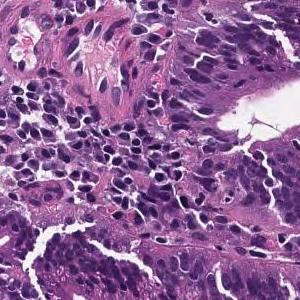
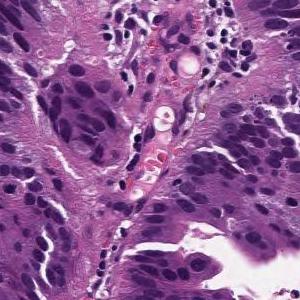
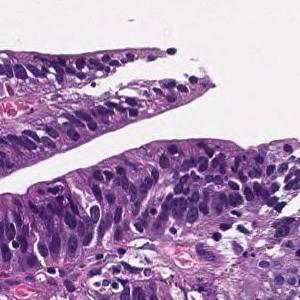
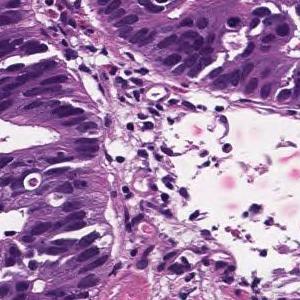
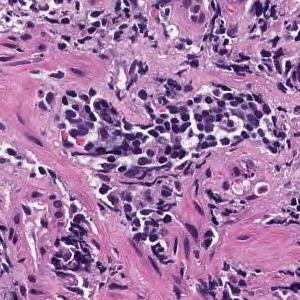
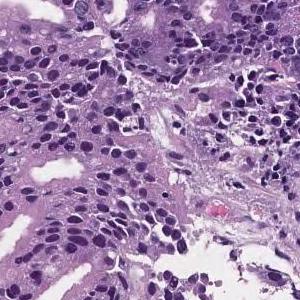
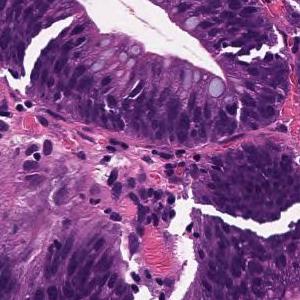
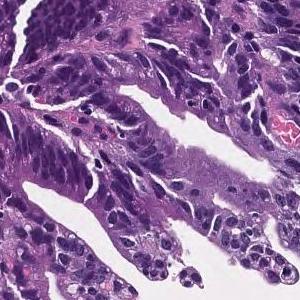
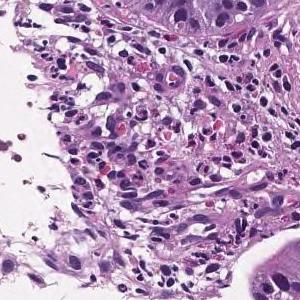
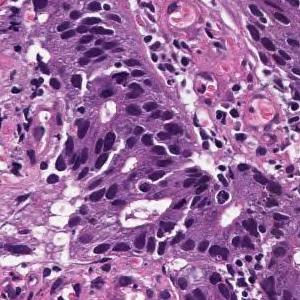
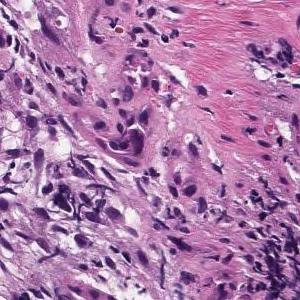
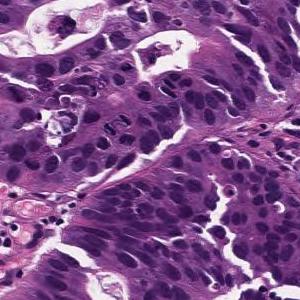
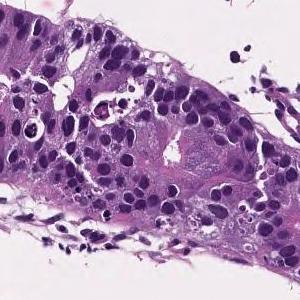
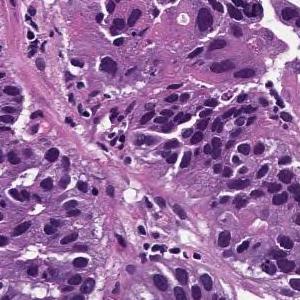
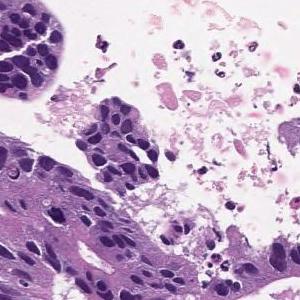
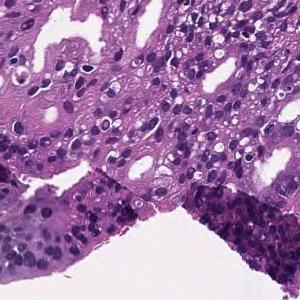
20× magnification, 16 image tiles from a single gastric biopsy slide.
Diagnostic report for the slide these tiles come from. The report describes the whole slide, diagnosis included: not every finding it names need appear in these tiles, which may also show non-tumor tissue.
Tumor cells are large, highly columnar, large club-shaped nuclei, and are associated with chromatin aggregation. Papillary adenocarcinoma.
